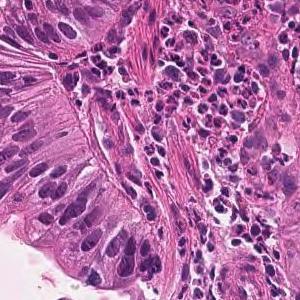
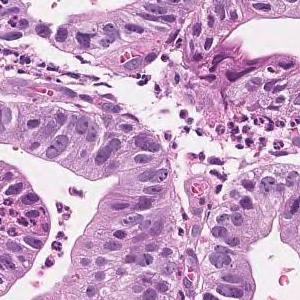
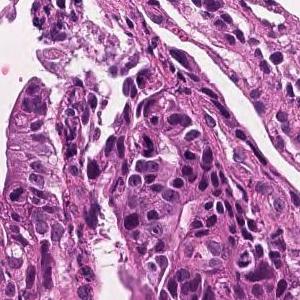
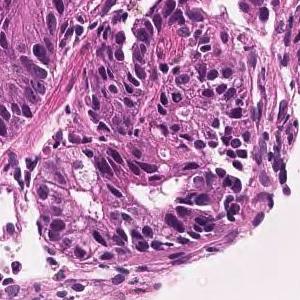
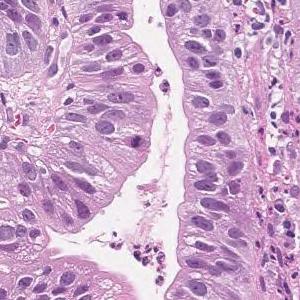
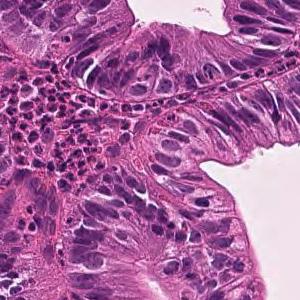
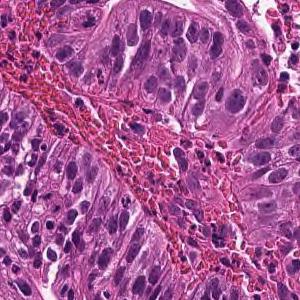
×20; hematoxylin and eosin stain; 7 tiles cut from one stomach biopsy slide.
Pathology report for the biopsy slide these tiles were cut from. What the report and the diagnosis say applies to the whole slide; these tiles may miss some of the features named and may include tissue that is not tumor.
Tumor cells are large, highly columnar, large club-shaped nuclei, and are associated with chromatin aggregation. Papillary adenocarcinoma.
